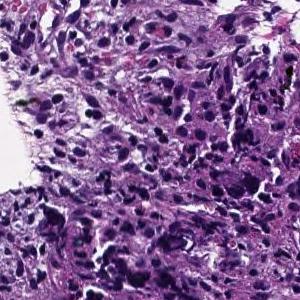
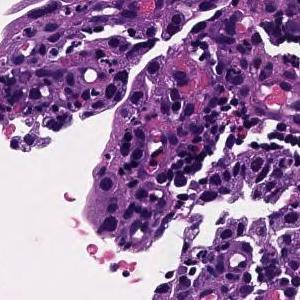
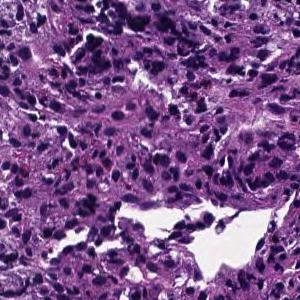
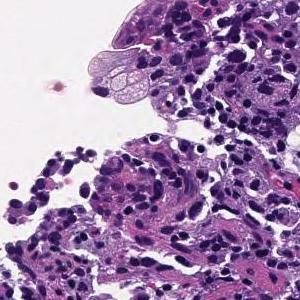
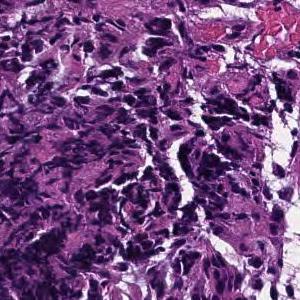
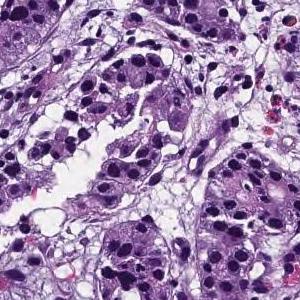
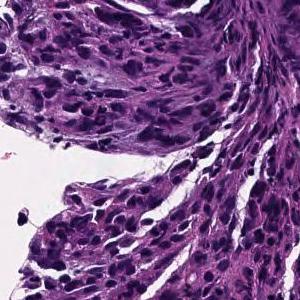
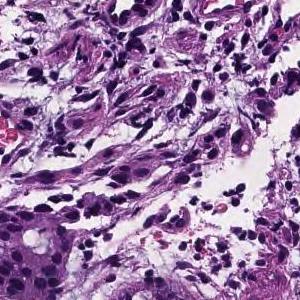
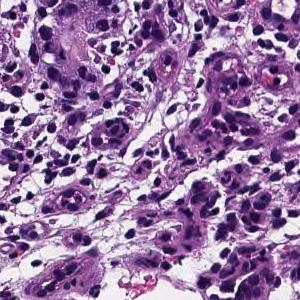
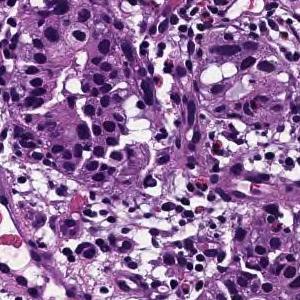
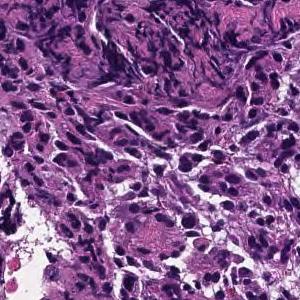
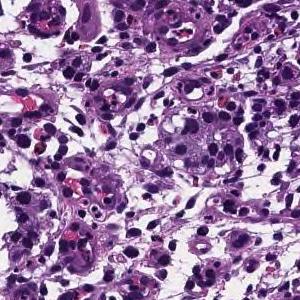
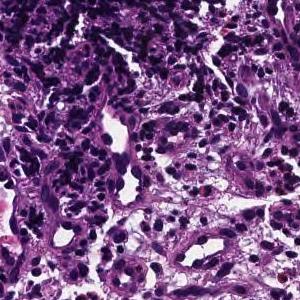
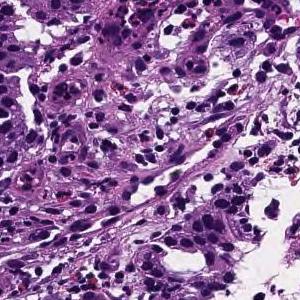
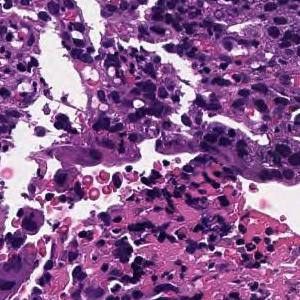
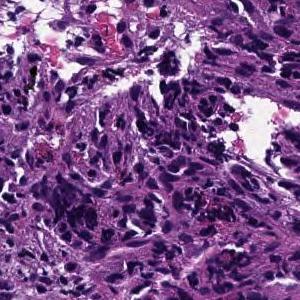
×20; H&E stain; 16 tiles cut from one stomach biopsy slide; 300 × 300 pixels each.
Pathology report for the biopsy slide these tiles were cut from. What the report and the diagnosis say applies to the whole slide; these tiles may miss some of the features named and may include tissue that is not tumor.
Tumor tissue consisting of cord-like or small, irregular glandular ducts fused and infiltrated is observed in the superficial epithelium. Poorly differentiated adenocarcinoma, non-solid type
The term "non-solid type" comes from the Japanese Classification of Gastric Carcinoma.
